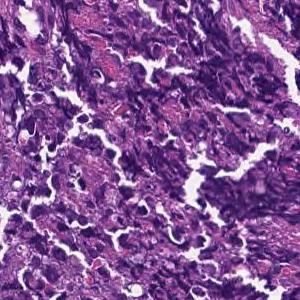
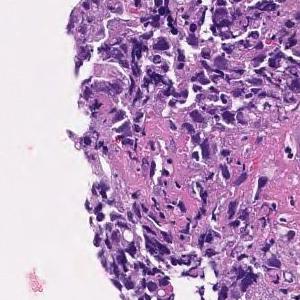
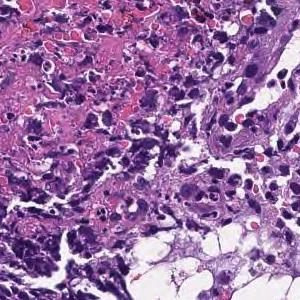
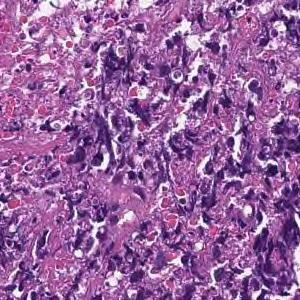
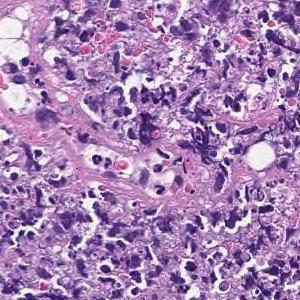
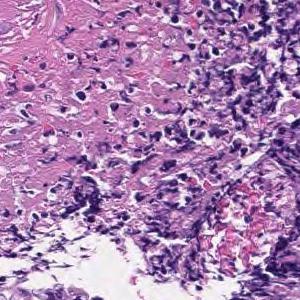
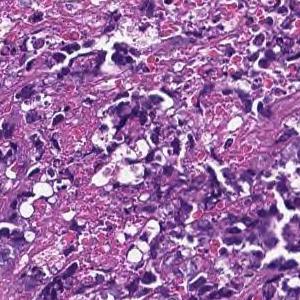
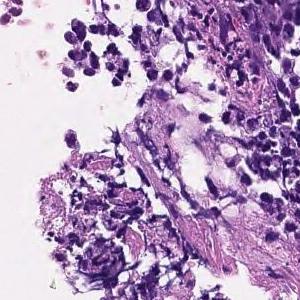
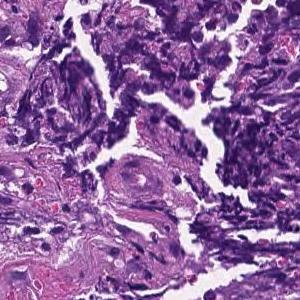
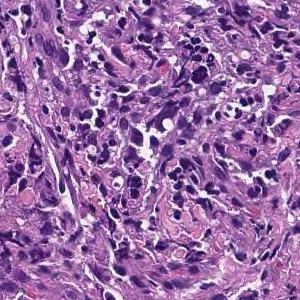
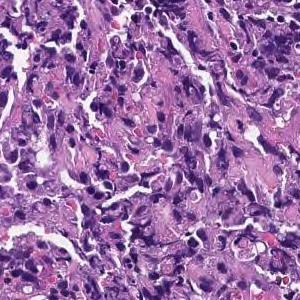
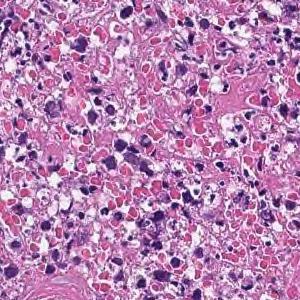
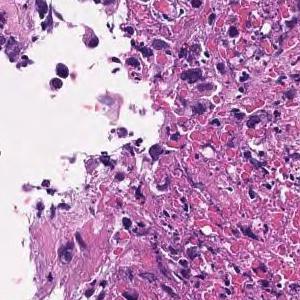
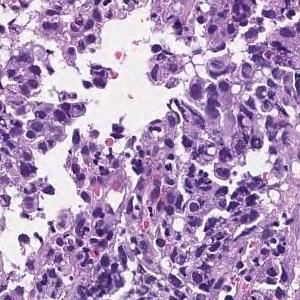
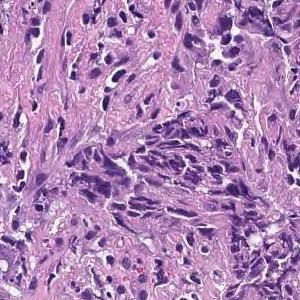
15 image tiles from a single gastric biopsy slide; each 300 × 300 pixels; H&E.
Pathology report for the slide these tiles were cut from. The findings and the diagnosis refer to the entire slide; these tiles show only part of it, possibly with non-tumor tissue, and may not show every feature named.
Most are composed of coagulative necrotic tissue, but some show a large sheet-like shape, and some show tumor tissue infiltrating with a small cord-like structure. Poorly differentiated adenocarcinoma, solid-type
Classified as poorly differentiated adenocarcinoma, solid type, a category of the Japanese Classification of Gastric Carcinoma; in the WHO 2019 classification it is tubular adenocarcinoma, poorly differentiated.
